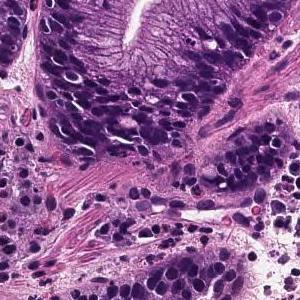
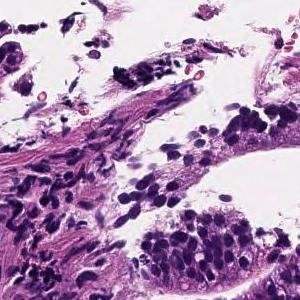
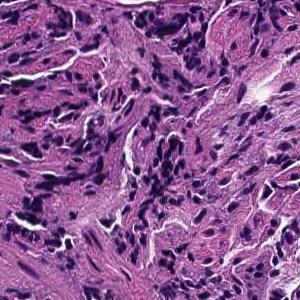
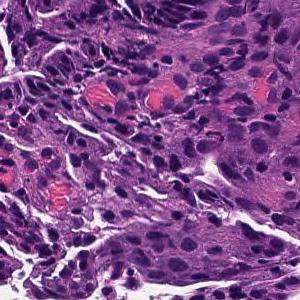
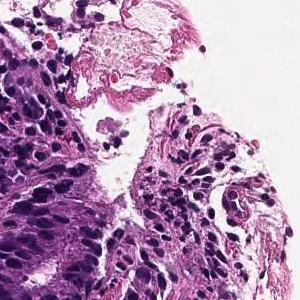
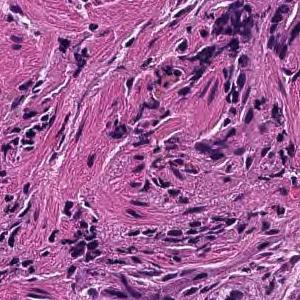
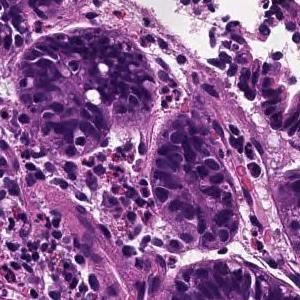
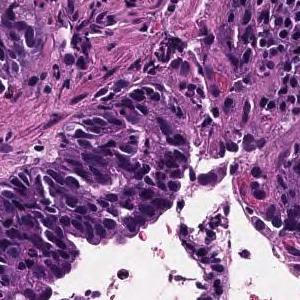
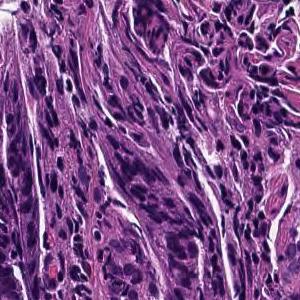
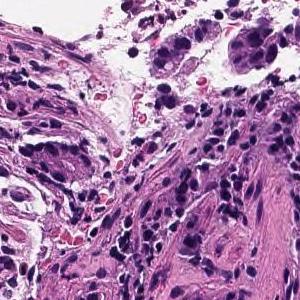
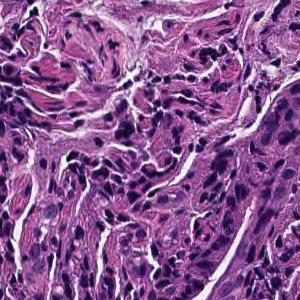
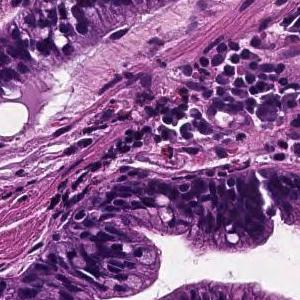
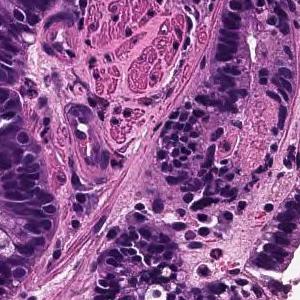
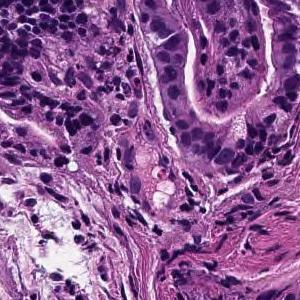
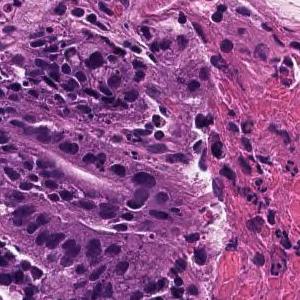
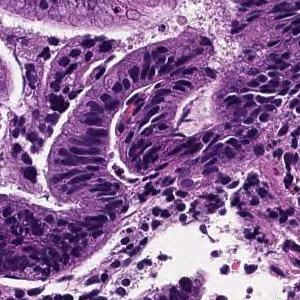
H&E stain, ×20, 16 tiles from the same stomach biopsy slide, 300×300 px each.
Pathology report for the slide these tiles were cut from. Both the report and the diagnosis are for the whole slide: these tiles need not show every feature named, and some of the tissue shown may not be tumor.
From the superficial epithelium to the muscularis mucosae, tumor tissue consisting of medium-sized and irregular glandular ducts infiltrating is observed. Well differentiated tubular adenocarcinoma
